Scanned at ×20, H&E, 14 patches cut from one gastric biopsy slide, each 300 × 300 pixels.
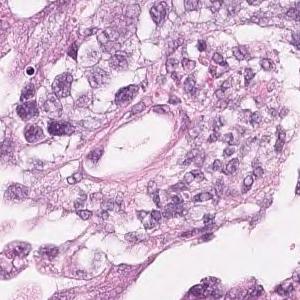
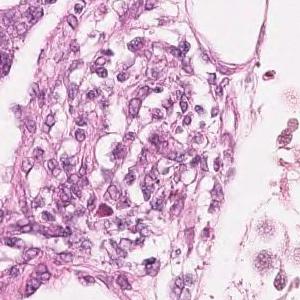
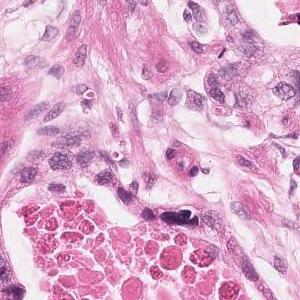
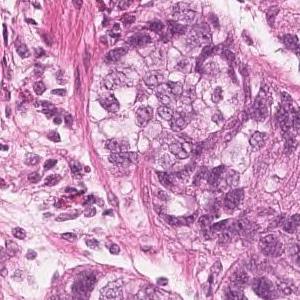
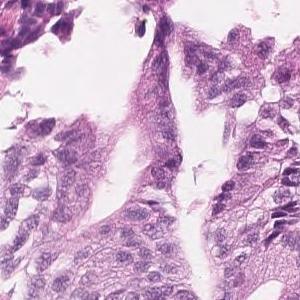
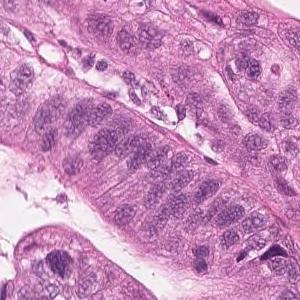
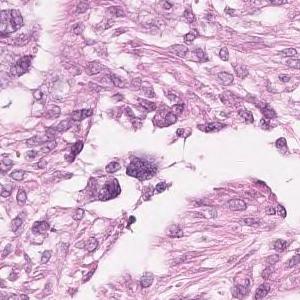
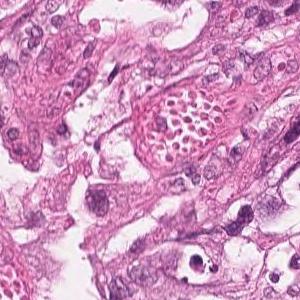
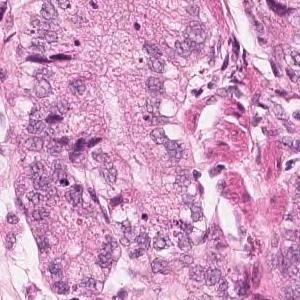
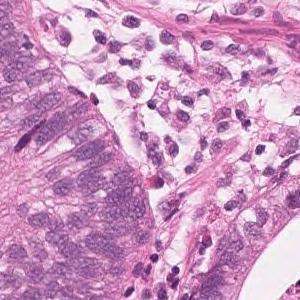
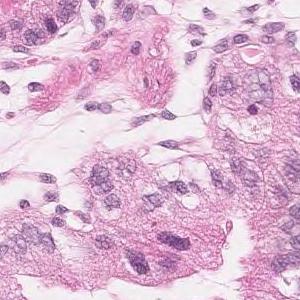
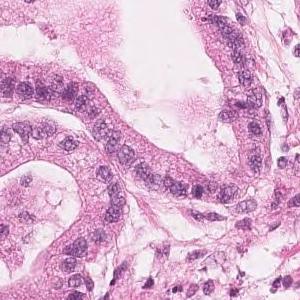
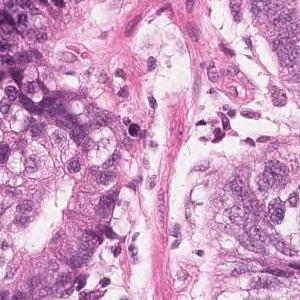
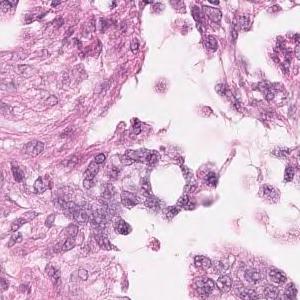
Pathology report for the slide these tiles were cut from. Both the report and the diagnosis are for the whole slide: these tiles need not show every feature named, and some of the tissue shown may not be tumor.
Highly columnar epithelium with disordered nuclear localization proliferates showing fusion ductal construction. moderately differentiated tubular adenocarcinoma
